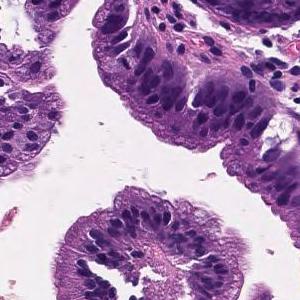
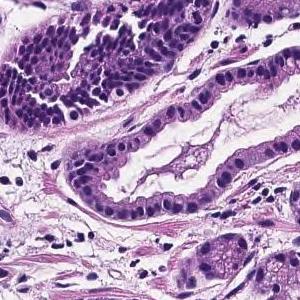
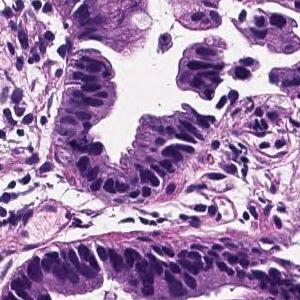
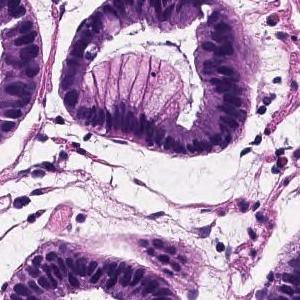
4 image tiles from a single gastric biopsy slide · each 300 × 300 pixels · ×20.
Pathology report for the biopsy slide these tiles were cut from. The findings and the diagnosis refer to the entire slide; these tiles show only part of it, possibly with non-tumor tissue, and may not show every feature named.
Tumor cells are large, highly columnar, large club-shaped nuclei, and are associated with chromatin aggregation. Papillary adenocarcinoma.
